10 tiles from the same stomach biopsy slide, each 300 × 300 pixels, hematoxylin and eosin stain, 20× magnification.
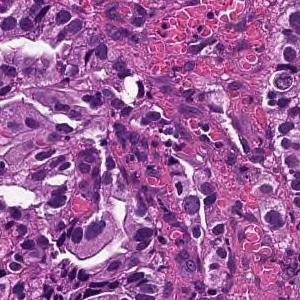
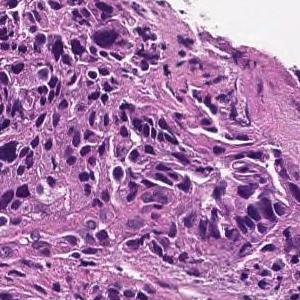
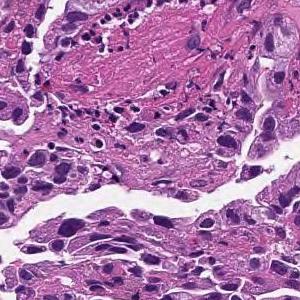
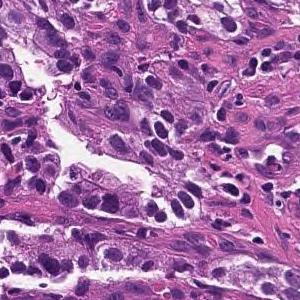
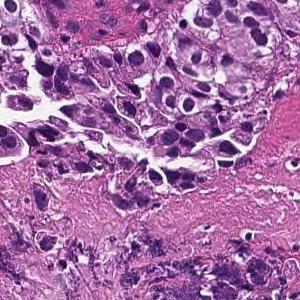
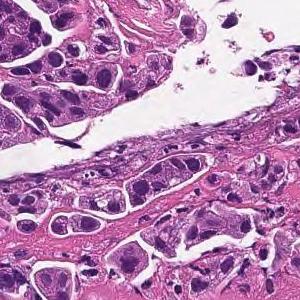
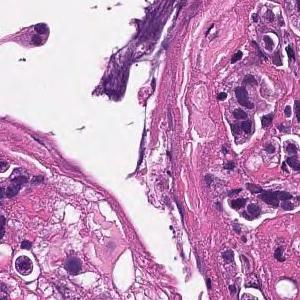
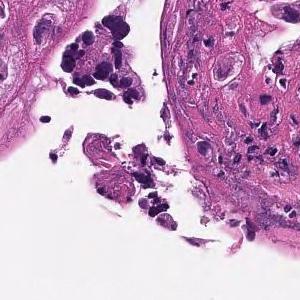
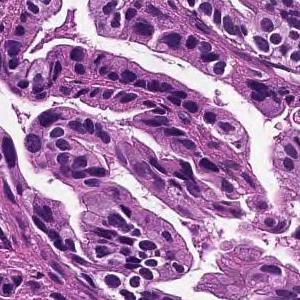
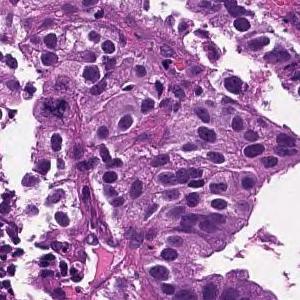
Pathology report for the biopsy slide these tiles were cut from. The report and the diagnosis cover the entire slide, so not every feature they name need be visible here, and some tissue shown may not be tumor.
Medium to small, irregular glandular ducts are formed in the superficial epithelium, and in some cases, the glandular ducts are fused to show solid alveolar lesions and infiltrating tumor tissue is observed. Moderately to poorly differentiated adenocarcinoma.
